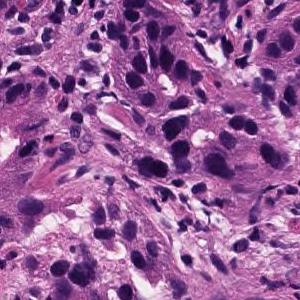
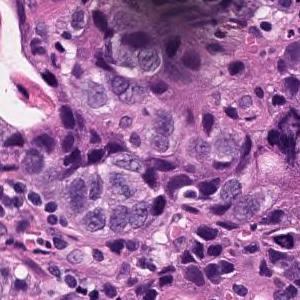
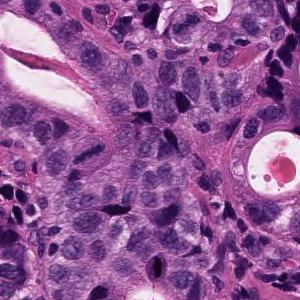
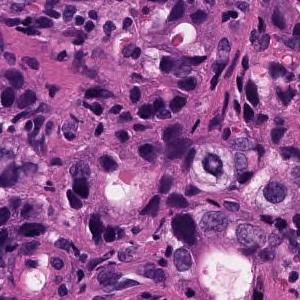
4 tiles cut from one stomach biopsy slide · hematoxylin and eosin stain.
Report on the slide these tiles come from. The findings and the diagnosis refer to the entire slide; these tiles show only part of it, possibly with non-tumor tissue, and may not show every feature named.
In the superficial epithelium, tumor tissue that invades by forming medium-sized to small, irregular ducts is observed. Moderately differentiated adenocarcinoma.
Histological subtype: Moderately differentiated tubular adenocarcinoma.
